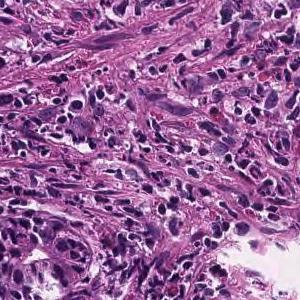
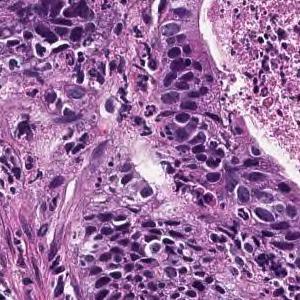
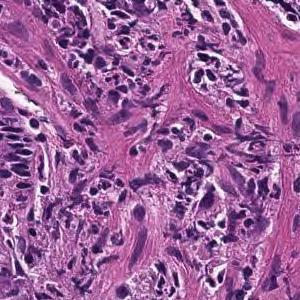
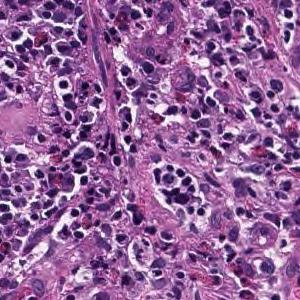
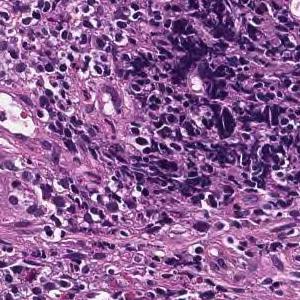
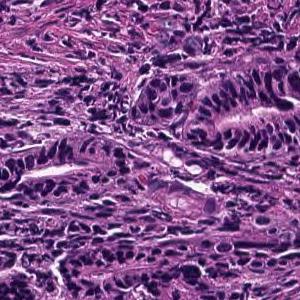
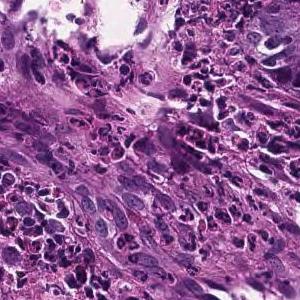
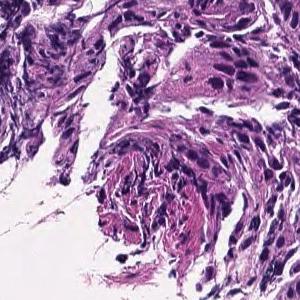
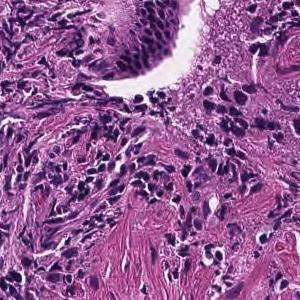
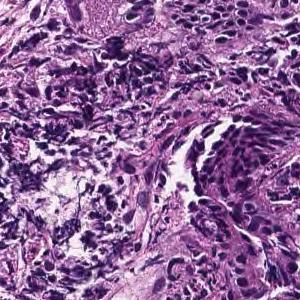
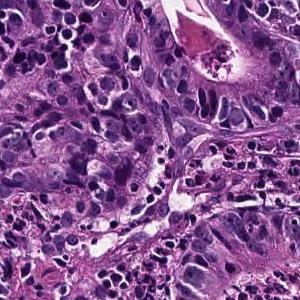
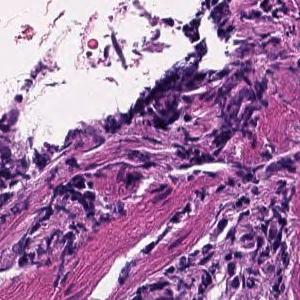
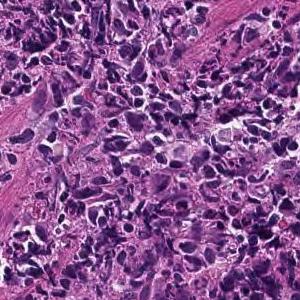
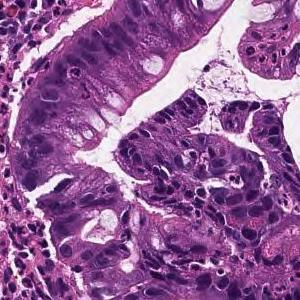
Scanned at ×20; hematoxylin and eosin stain; 14 tiles from the same stomach biopsy slide; 300×300 px each.
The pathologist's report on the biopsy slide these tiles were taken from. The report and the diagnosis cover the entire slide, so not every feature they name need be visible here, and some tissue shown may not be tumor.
On the superficial epithelium, tumor tissue consisting of large, irregular glandular ducts partially fused and infiltrated is observed. Well to moderately differentiated tubular adenocarcinoma (well differentiated tubular adenocarcinoma, moderately differentiated tubular adenocarcinoma)
Histologic type: Well to moderately differentiated tubular adenocarcinoma.
